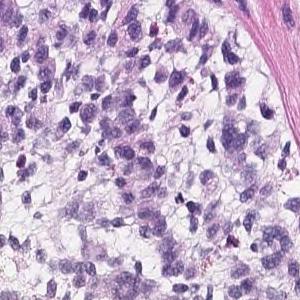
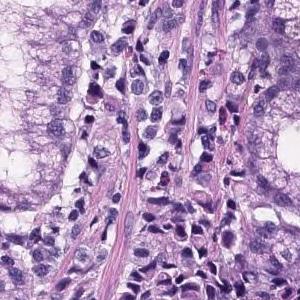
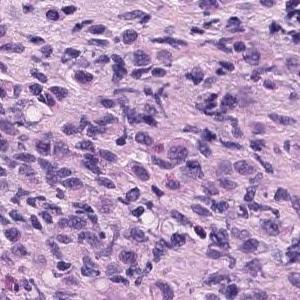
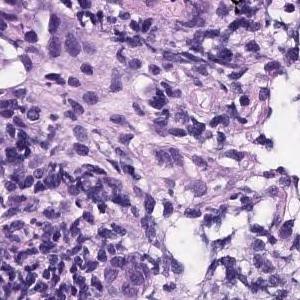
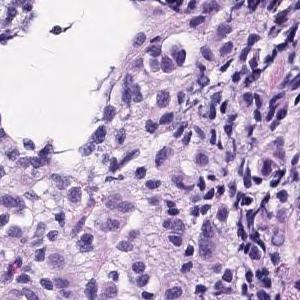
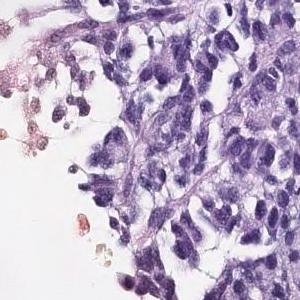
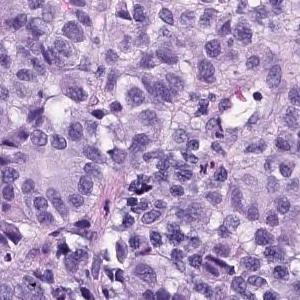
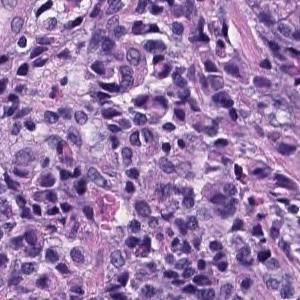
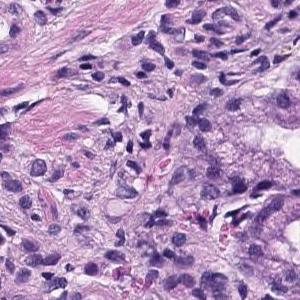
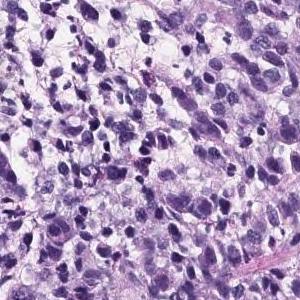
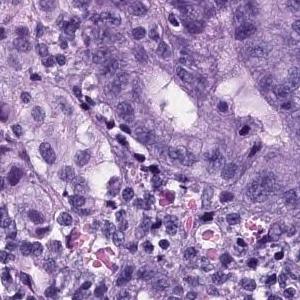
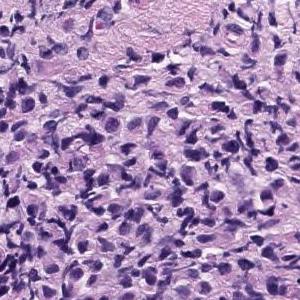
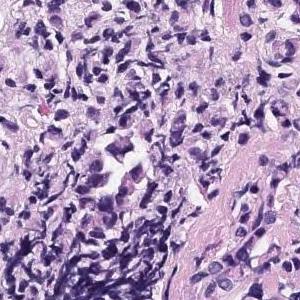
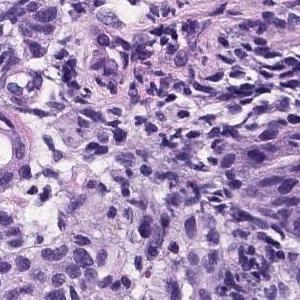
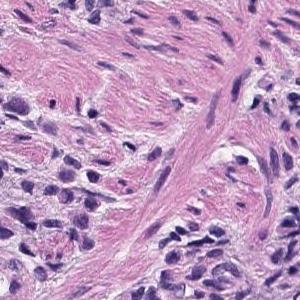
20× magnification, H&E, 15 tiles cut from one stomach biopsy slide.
Diagnostic report for the slide these tiles come from. What the report and the diagnosis say applies to the whole slide; these tiles may miss some of the features named and may include tissue that is not tumor.
There are medium-sized atypical cells with marked nuclear swelling and increased N/C ratio, which grow into solid or isolated scattered cells. Poorly differentiated adenocarcinoma
Tumor subtype: poorly differentiated adenocarcinoma, solid type, a category of the Japanese Classification of Gastric Carcinoma; in the WHO 2019 classification it is tubular adenocarcinoma, poorly differentiated.
